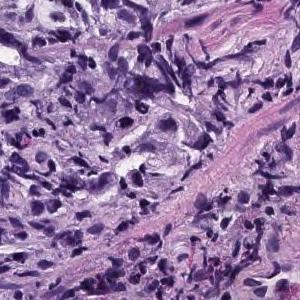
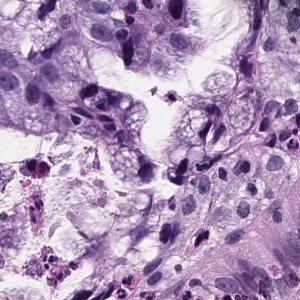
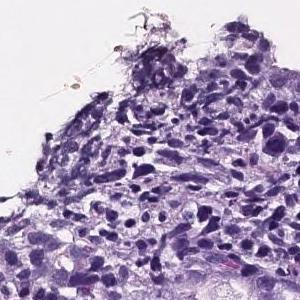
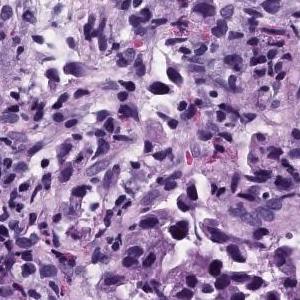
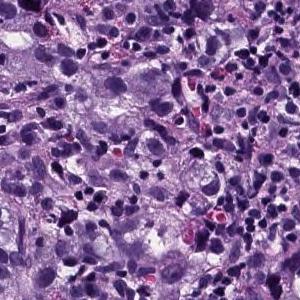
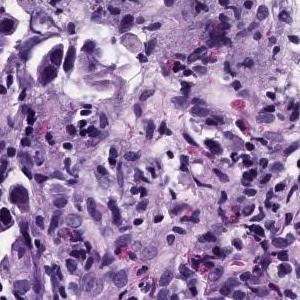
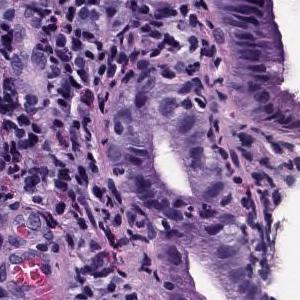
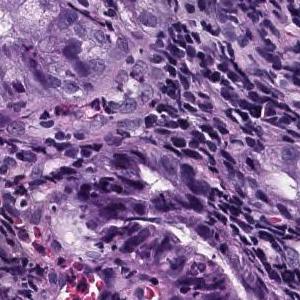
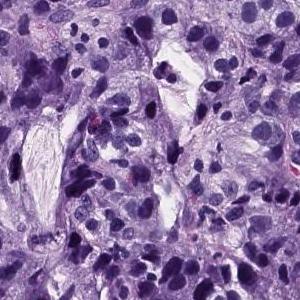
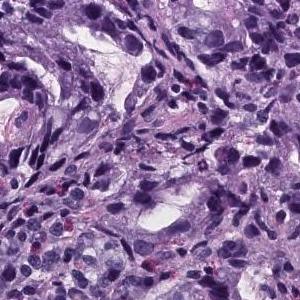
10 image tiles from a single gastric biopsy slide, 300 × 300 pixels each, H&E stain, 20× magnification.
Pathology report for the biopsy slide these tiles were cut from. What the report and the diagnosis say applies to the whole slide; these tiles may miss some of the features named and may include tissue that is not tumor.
Atypical epithelial cells infiltrating and proliferating while forming solid or cord-like fused glandular cavities of different sizes is observed. moderately differentiated tubular adenocarcinoma, poorly differentiated adenocarcinoma.
Tumor subtype: moderately to poorly differentiated adenocarcinoma.
